6 tiles cut from one stomach biopsy slide; each 300 × 300 pixels; H&E stain.
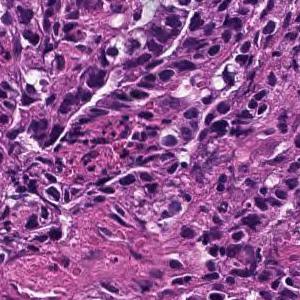
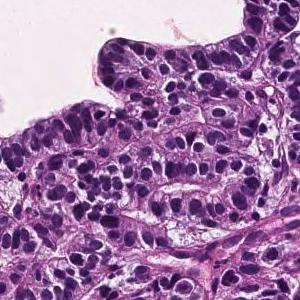
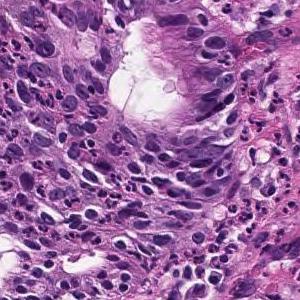
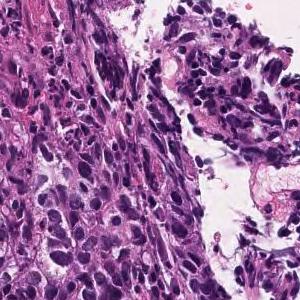
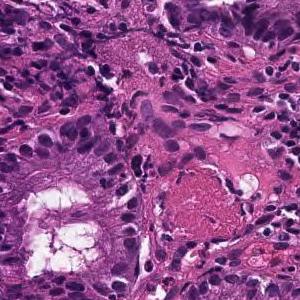
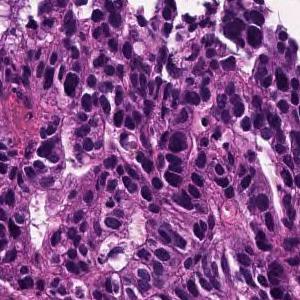
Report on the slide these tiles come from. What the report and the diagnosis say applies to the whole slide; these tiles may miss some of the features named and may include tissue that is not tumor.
In the superficial epithelium, tumor tissue that invades by forming medium-sized to small, irregular ducts is observed. moderately differentiated tubular adenocarcinoma.
